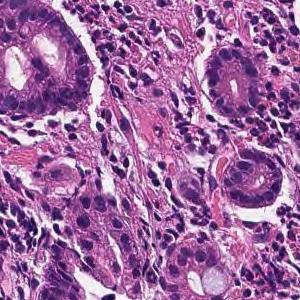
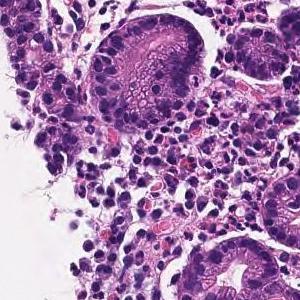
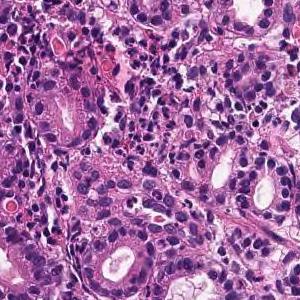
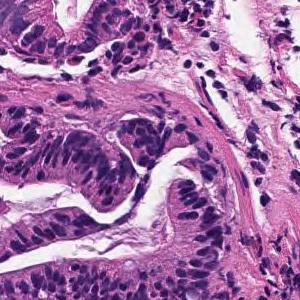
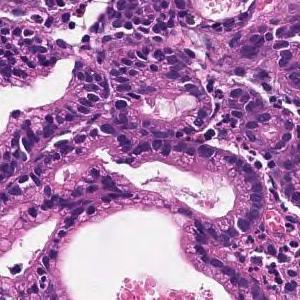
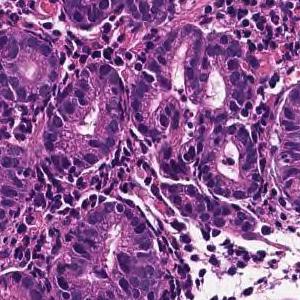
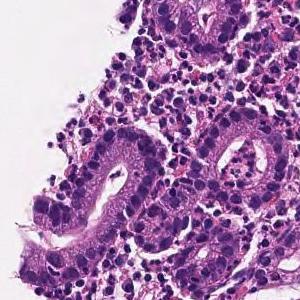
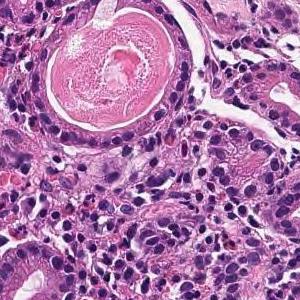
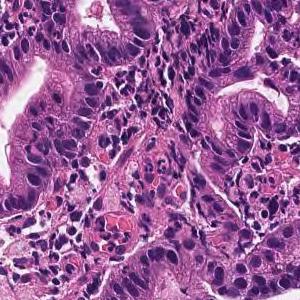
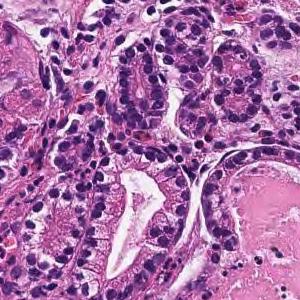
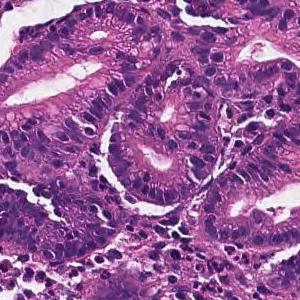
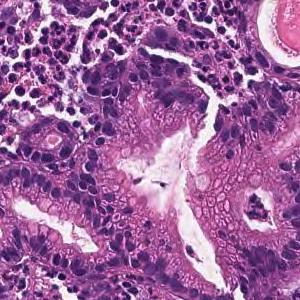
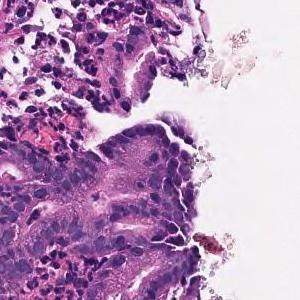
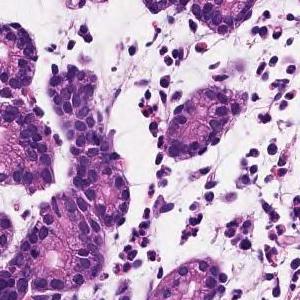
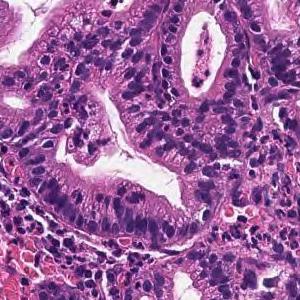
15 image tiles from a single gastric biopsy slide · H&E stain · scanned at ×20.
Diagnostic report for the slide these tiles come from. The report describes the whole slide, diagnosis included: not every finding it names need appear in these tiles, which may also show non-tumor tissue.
Tumor tissue infiltrated and proliferated with small to medium-sized irregular tubules is observed in the superficial epithelium. Well differentiated tubular adenocarcinoma
